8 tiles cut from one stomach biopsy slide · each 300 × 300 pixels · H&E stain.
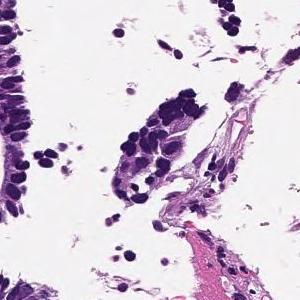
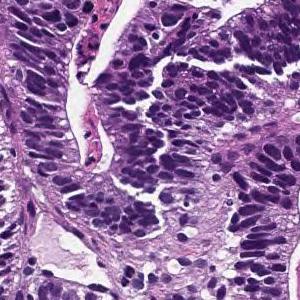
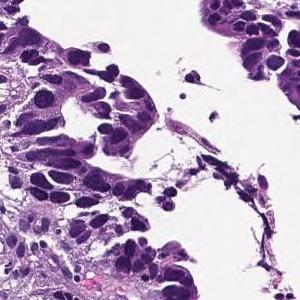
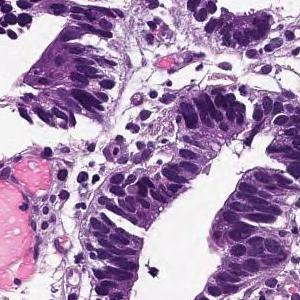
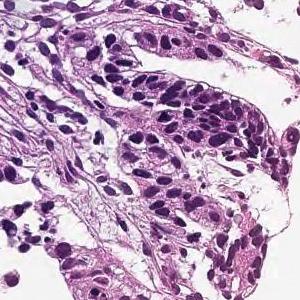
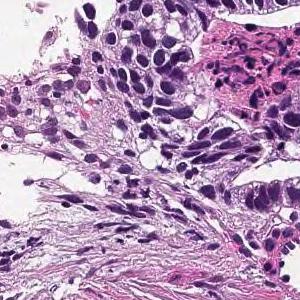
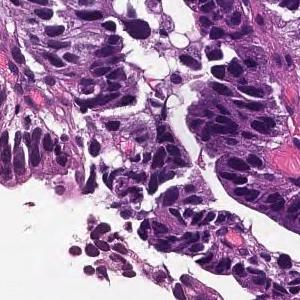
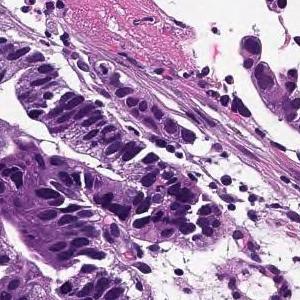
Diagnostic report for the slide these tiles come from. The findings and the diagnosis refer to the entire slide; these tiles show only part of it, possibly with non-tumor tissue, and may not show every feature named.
Tumor cells are large, highly columnar, large club-shaped nuclei, and are associated with chromatin aggregation. Papillary adenocarcinoma.
